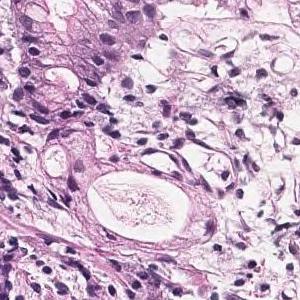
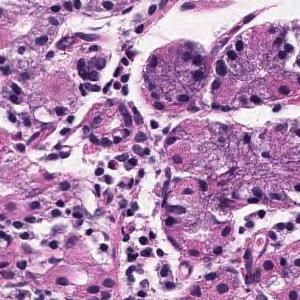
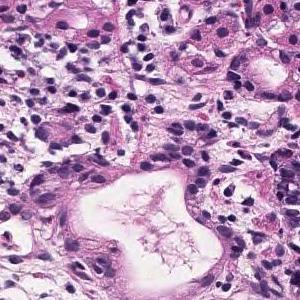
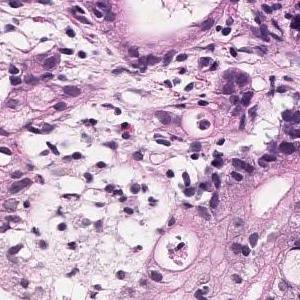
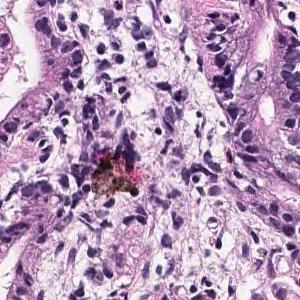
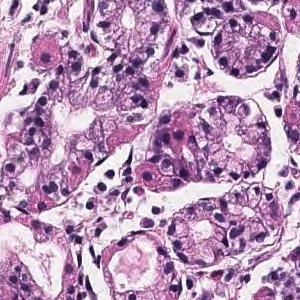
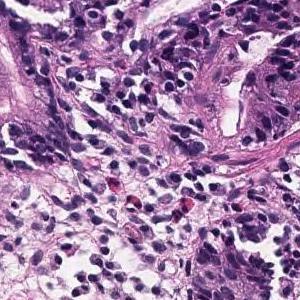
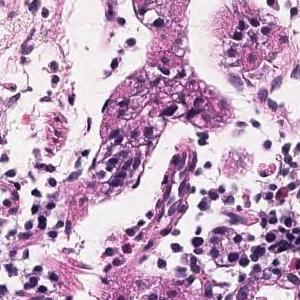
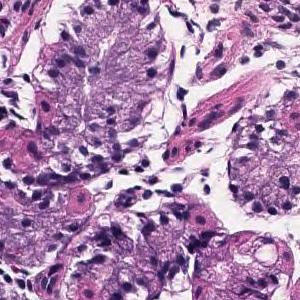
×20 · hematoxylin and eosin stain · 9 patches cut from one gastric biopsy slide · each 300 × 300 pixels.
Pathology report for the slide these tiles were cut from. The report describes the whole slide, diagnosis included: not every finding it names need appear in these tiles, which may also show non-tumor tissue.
Tumor tissue that grows and grows is observed, showing a medium-sized round or irregular duct. moderately differentiated tubular adenocarcinoma
